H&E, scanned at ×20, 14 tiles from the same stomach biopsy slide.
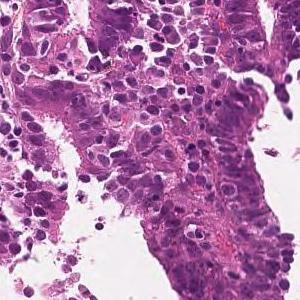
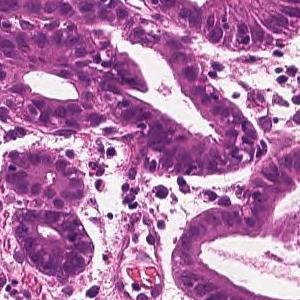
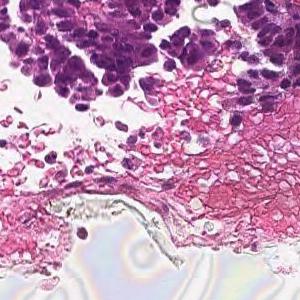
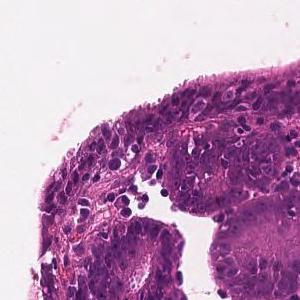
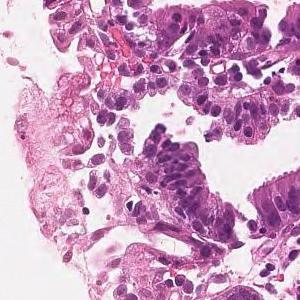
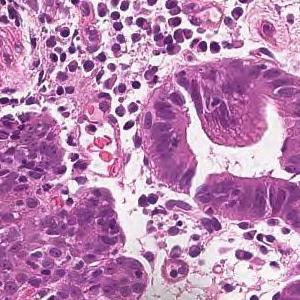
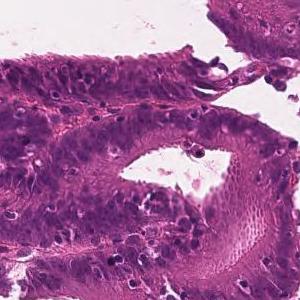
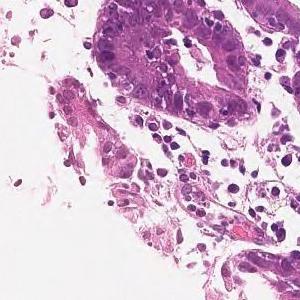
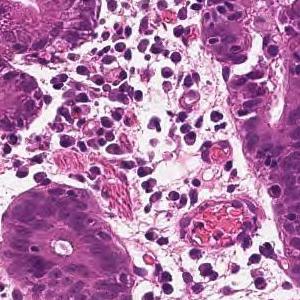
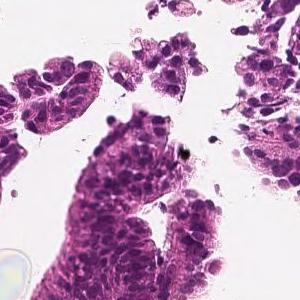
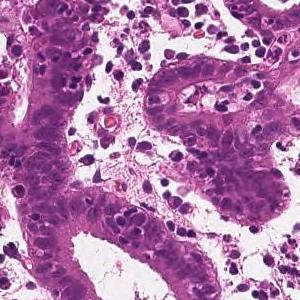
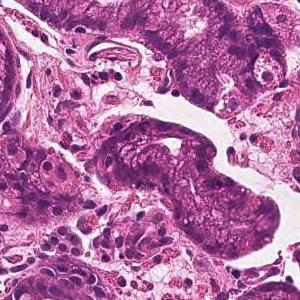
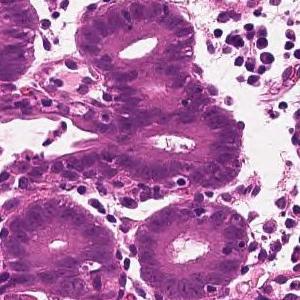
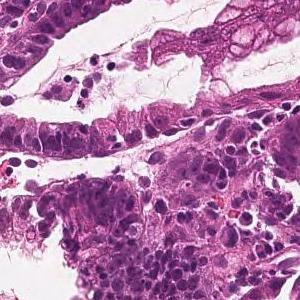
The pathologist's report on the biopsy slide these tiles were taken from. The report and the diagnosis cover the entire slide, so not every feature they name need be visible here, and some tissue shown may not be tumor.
On the superficial epithelium, tumor tissue is found in which medium-sized irregular gland ducts fuse with each other and infiltrate. moderately differentiated tubular adenocarcinoma
